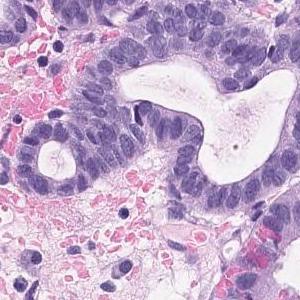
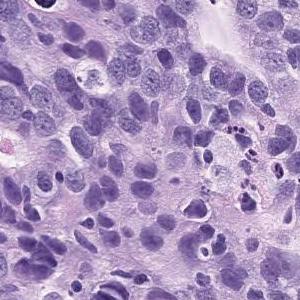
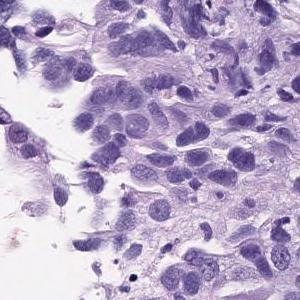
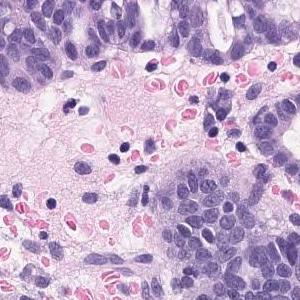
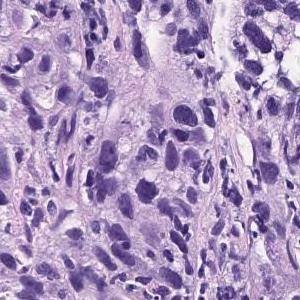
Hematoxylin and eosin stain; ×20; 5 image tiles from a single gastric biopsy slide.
Pathology report for the slide these tiles were cut from. The report and the diagnosis describe the slide as a whole, so these tiles may not show every feature named and may include non-tumor tissue.
The superficial epithelium shows a large sheet-like shape, and some tumor tissue infiltrates with small irregular ducts. Poorly differentiated adenocarcinoma, solid-type
Histologic type: Poorly differentiated adenocarcinoma, solid type, a category of the Japanese Classification of Gastric Carcinoma; in the WHO 2019 classification it is tubular adenocarcinoma, poorly differentiated.
